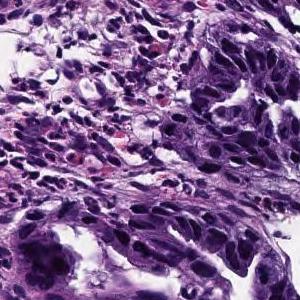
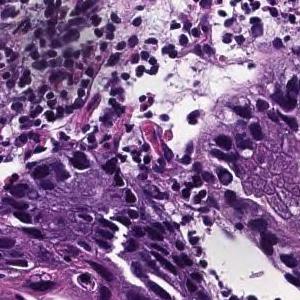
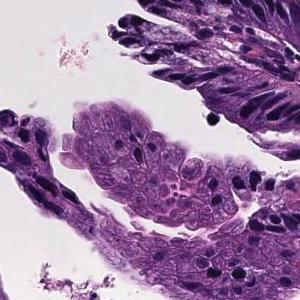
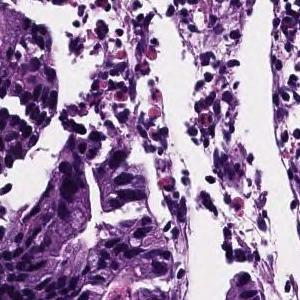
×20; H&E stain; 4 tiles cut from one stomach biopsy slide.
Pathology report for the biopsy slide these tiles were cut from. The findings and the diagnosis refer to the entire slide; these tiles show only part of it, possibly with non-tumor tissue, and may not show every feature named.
In the superficial epithelium, tumor tissue that invades by forming medium-sized to small, irregular ducts is observed. Moderately differentiated adenocarcinoma.
Histological subtype: Moderately differentiated tubular adenocarcinoma.
